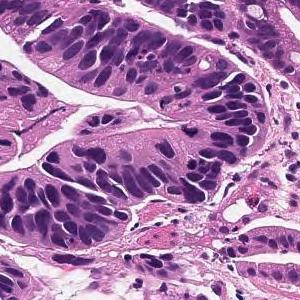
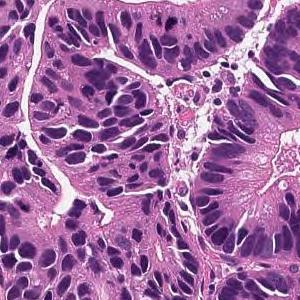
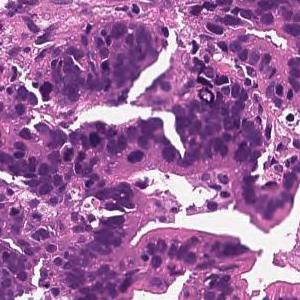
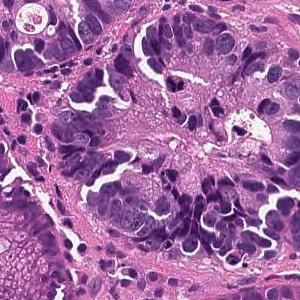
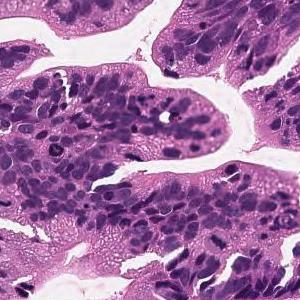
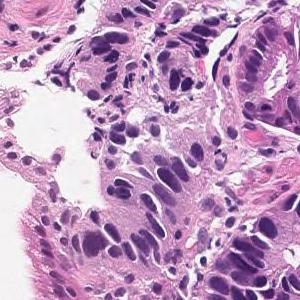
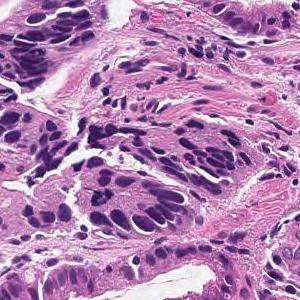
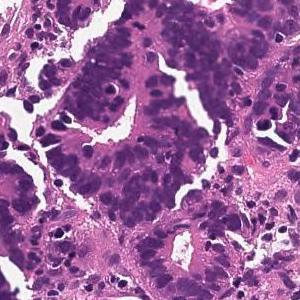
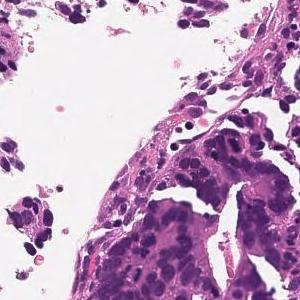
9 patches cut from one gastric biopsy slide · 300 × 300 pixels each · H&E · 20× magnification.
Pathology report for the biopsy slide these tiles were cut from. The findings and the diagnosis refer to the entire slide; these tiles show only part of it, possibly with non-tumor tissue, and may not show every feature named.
Tumor cells are large, highly columnar, large club-shaped nuclei, and are associated with chromatin aggregation. Papillary adenocarcinoma.
